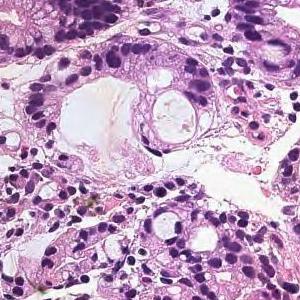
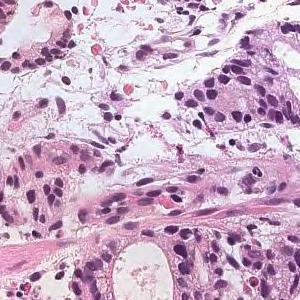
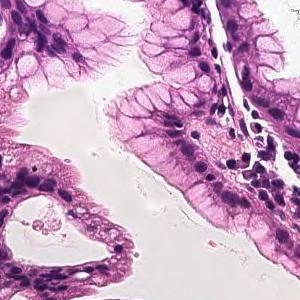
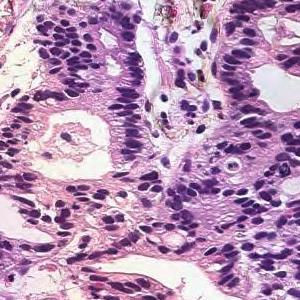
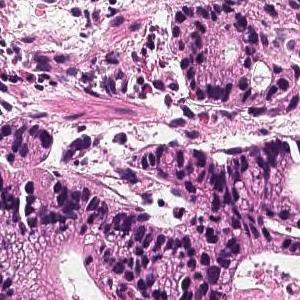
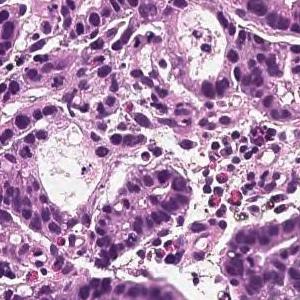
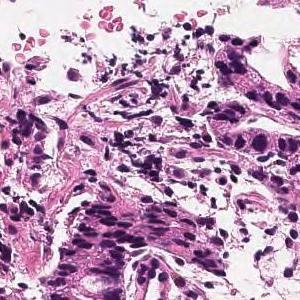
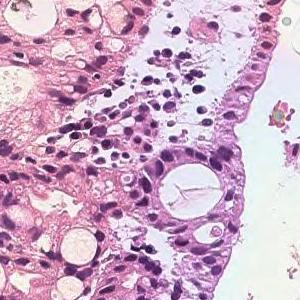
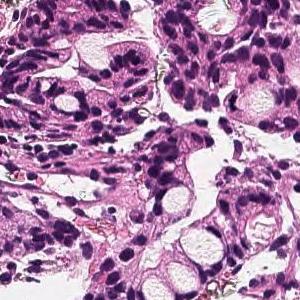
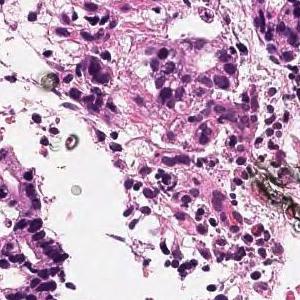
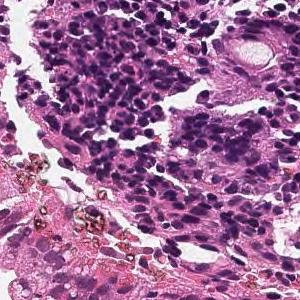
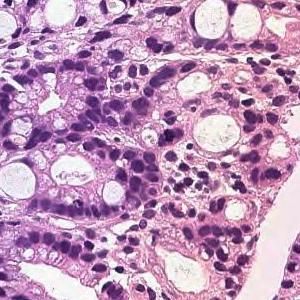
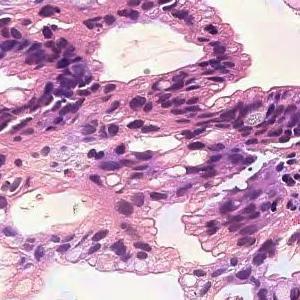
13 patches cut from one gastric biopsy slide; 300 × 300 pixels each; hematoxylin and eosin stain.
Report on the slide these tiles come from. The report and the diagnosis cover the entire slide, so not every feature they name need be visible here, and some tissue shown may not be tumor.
In the superficial epithelium, tumor tissue that invades by forming medium-sized to small, irregular ducts is observed. moderately differentiated tubular adenocarcinoma.
